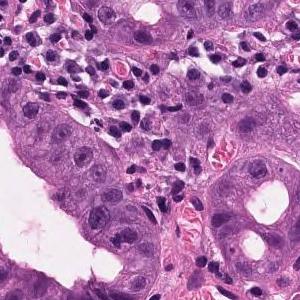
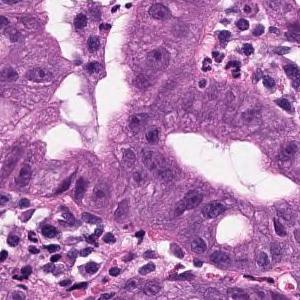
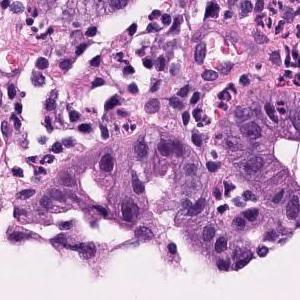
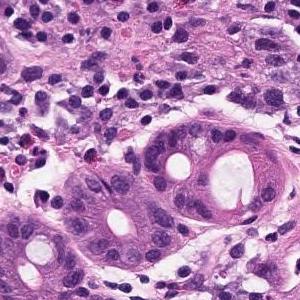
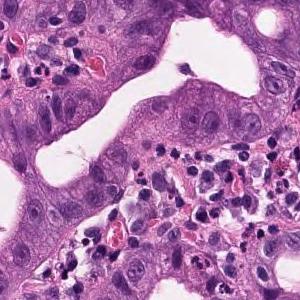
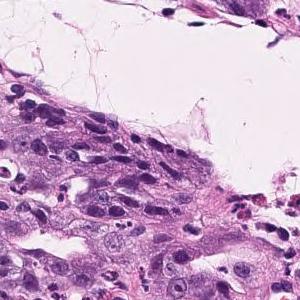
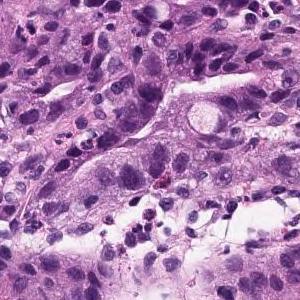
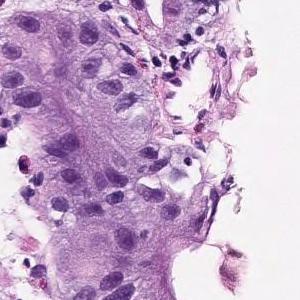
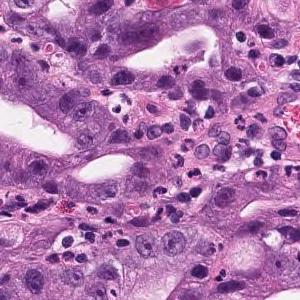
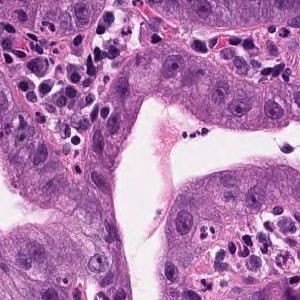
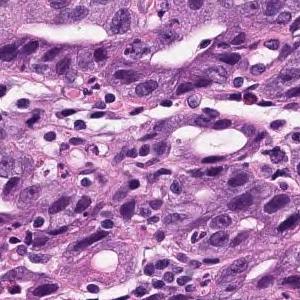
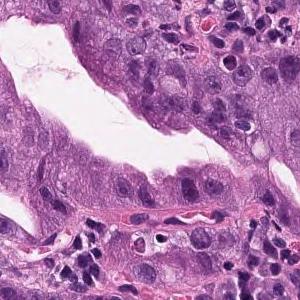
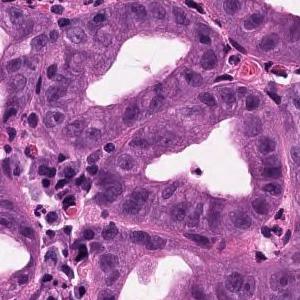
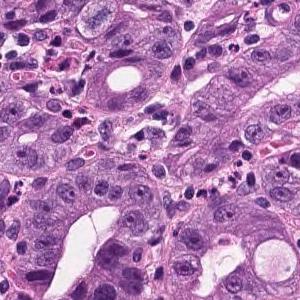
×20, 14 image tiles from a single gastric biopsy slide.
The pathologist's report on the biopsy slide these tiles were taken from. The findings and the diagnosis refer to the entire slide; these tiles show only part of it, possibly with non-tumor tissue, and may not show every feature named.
In the superficial epithelium, tumor tissue that invades by forming medium-sized to small, irregular ducts is observed. Well to moderately differentiated adenocarcinoma (well differentiated tubular adenocarcinoma, moderately differentiated tubular adenocarcinoma).
Classified as well to moderately differentiated tubular adenocarcinoma.
